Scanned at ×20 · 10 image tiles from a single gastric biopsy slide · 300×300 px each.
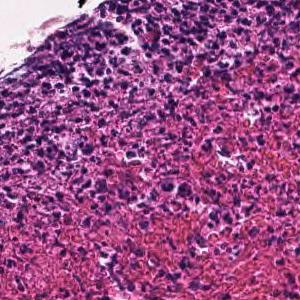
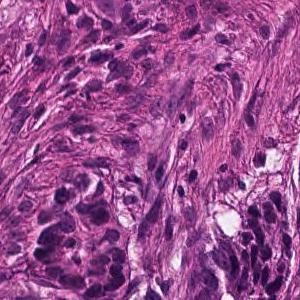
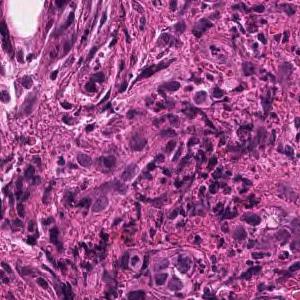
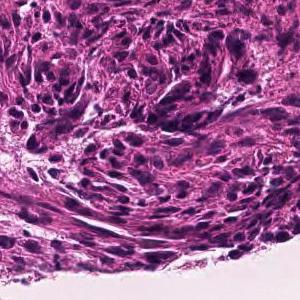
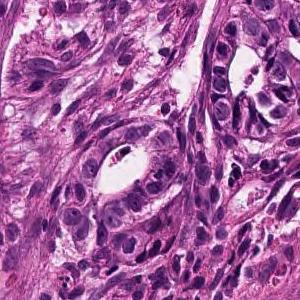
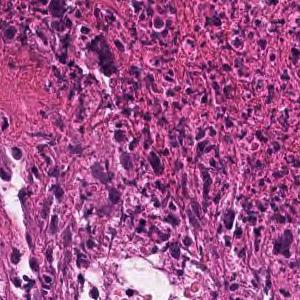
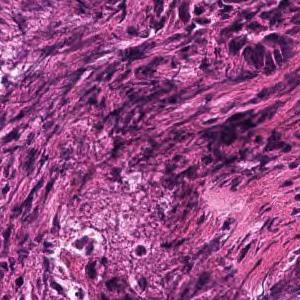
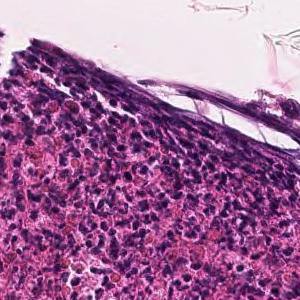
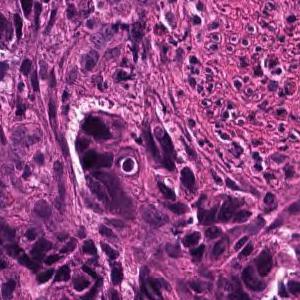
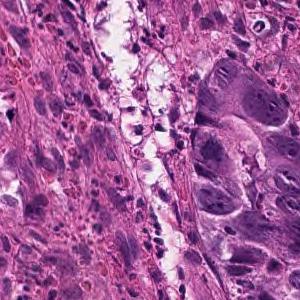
Pathology report for the slide these tiles were cut from. The report and the diagnosis cover the entire slide, so not every feature they name need be visible here, and some tissue shown may not be tumor.
In the superficial epithelium, tumor tissue that invades by forming medium-sized to small, irregular ducts is observed. moderately differentiated tubular adenocarcinoma.
